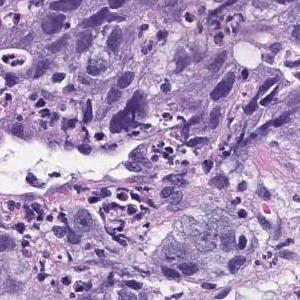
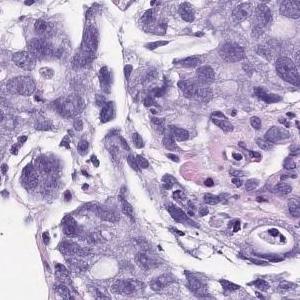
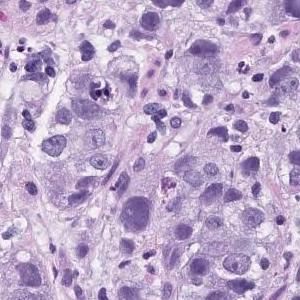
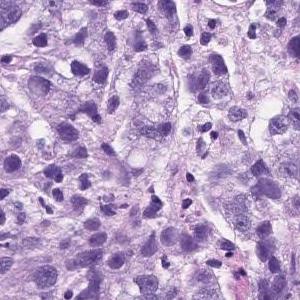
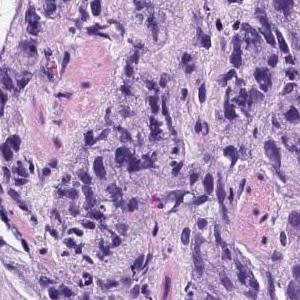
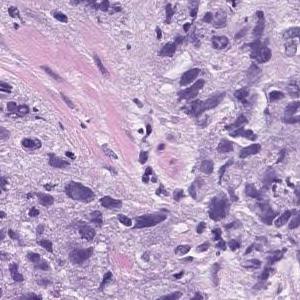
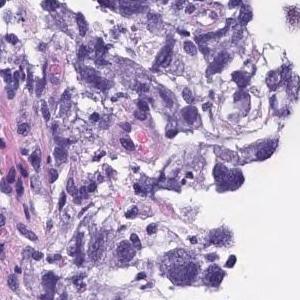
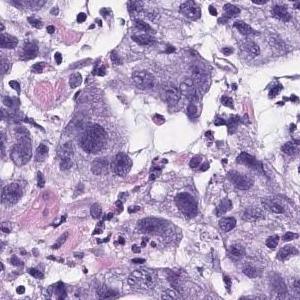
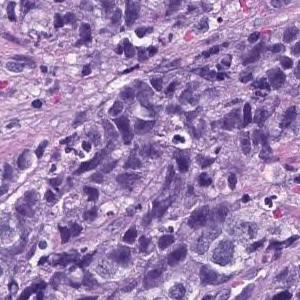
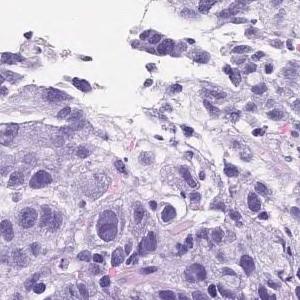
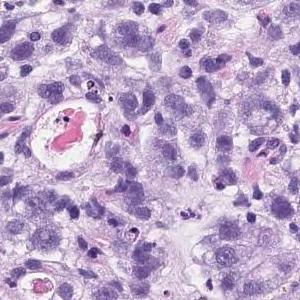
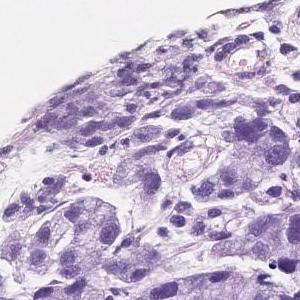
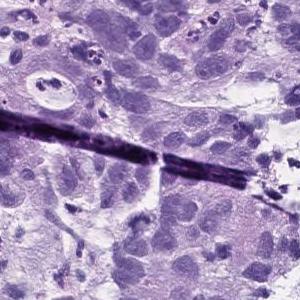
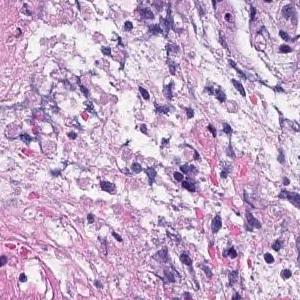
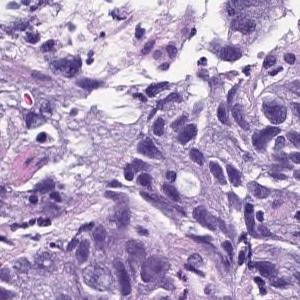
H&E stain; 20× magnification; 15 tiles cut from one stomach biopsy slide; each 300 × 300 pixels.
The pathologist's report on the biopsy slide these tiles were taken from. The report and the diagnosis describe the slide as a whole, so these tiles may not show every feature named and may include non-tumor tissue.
Atypical l cells with atypical nuclei forming solid vesicles or small irregular atypical ducts that proliferate in a complex manner. poorly differentiated adenocarcinoma, solid type, moderately differentiated tubular adenocarcinoma
The solid type named here is a Japanese Classification of Gastric Carcinoma category; WHO 2019 calls it tubular adenocarcinoma, poorly differentiated.
